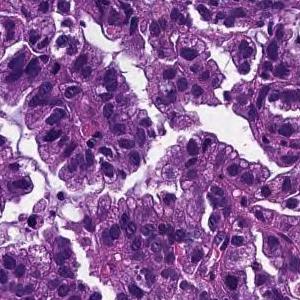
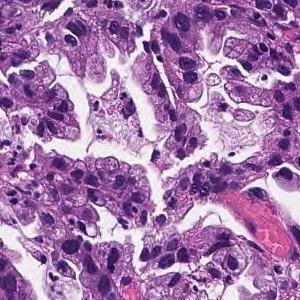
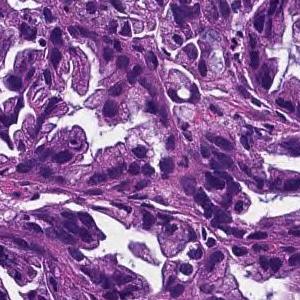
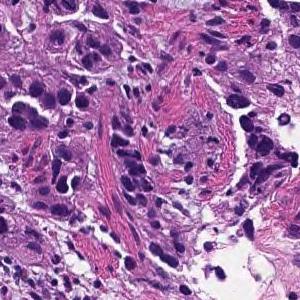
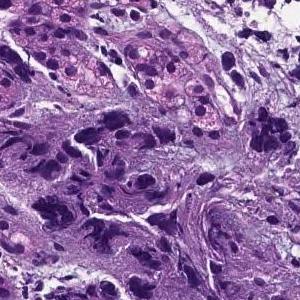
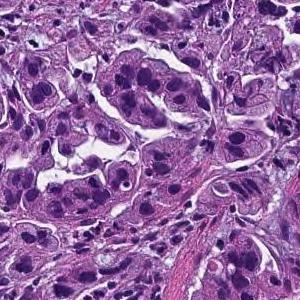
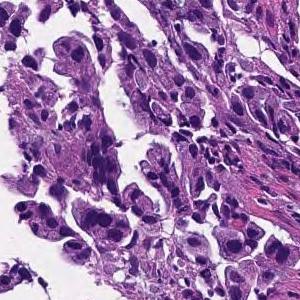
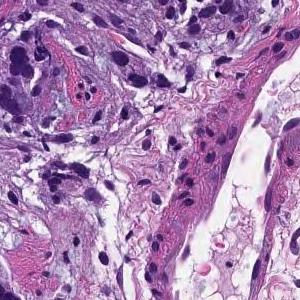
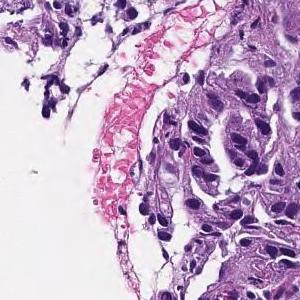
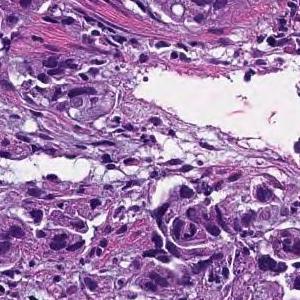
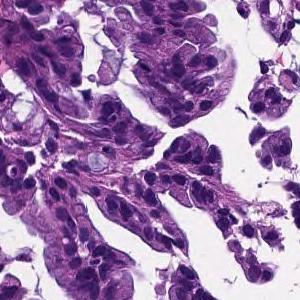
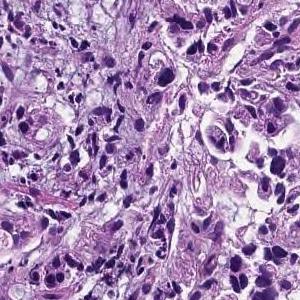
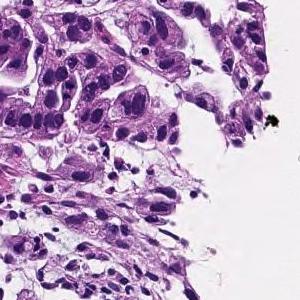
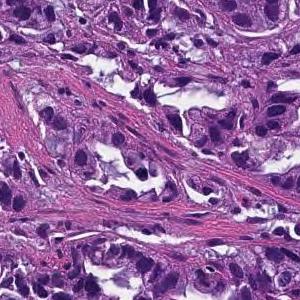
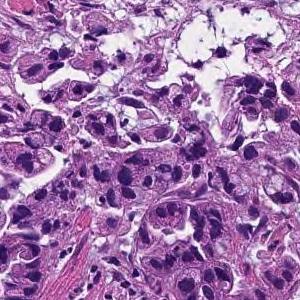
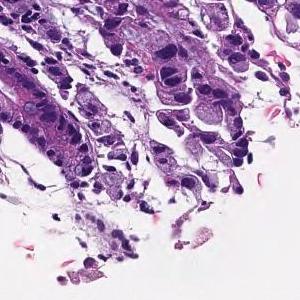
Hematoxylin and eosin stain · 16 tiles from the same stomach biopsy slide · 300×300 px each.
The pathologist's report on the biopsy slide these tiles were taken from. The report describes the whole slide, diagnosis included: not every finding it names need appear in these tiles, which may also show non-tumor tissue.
Tumor tissue consisting of medium-sized, cord-like or irregular glandular infiltration is observed in the superficial epithelium. Poorly differentiated adenocarcinoma, non-solid type or moderately differentiated tubular adenocarcinoma
Histologic type: Moderately to poorly differentiated adenocarcinoma.
"Non-solid type" is a category of the Japanese Classification of Gastric Carcinoma.
